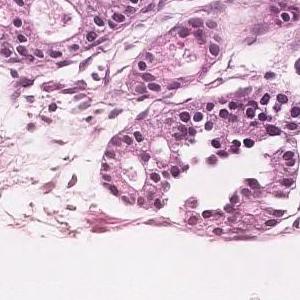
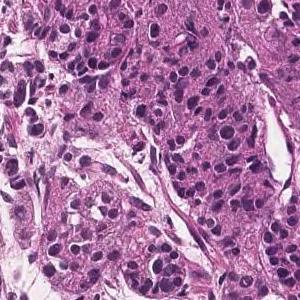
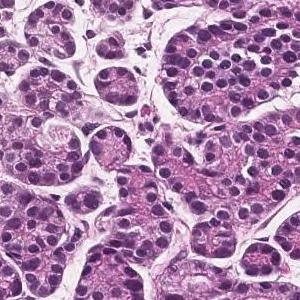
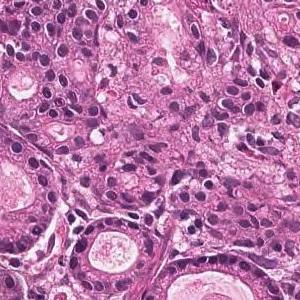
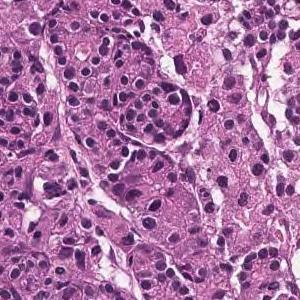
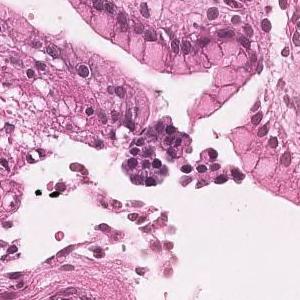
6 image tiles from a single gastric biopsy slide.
Diagnostic report for the slide these tiles come from. The report and the diagnosis cover the entire slide, so not every feature they name need be visible here, and some tissue shown may not be tumor.
In the superficial epithelium, tumor tissue that invades by forming medium-sized to small, irregular ducts is observed. Moderately differentiated adenocarcinoma.
Classified as moderately differentiated tubular adenocarcinoma.
